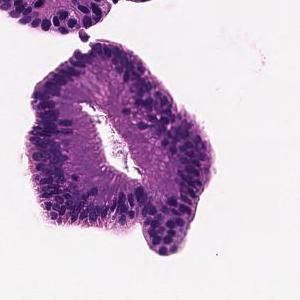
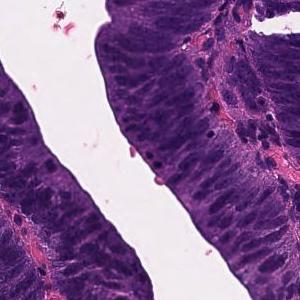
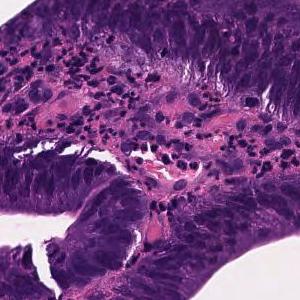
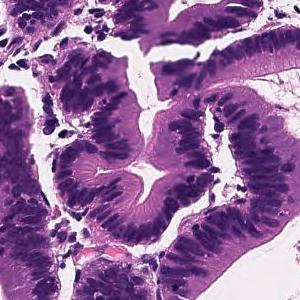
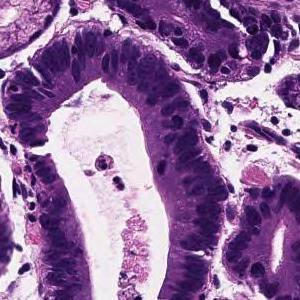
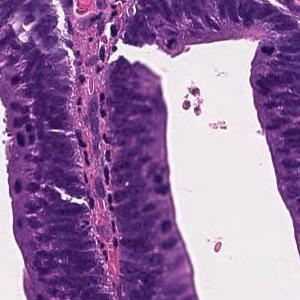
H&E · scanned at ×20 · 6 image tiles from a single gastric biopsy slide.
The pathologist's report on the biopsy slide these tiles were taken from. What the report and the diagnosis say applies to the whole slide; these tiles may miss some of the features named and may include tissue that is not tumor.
Tumor tissue consisting of large papillary structures is found in the superficial epithelium. Papillary adenocarcinoma.
